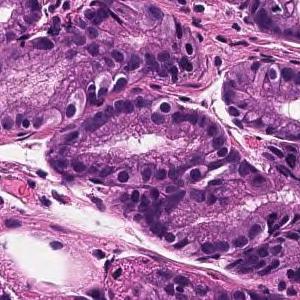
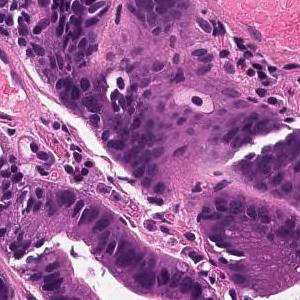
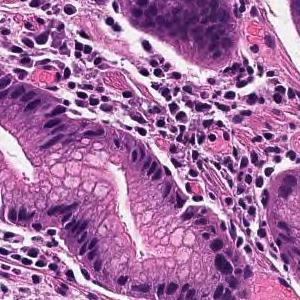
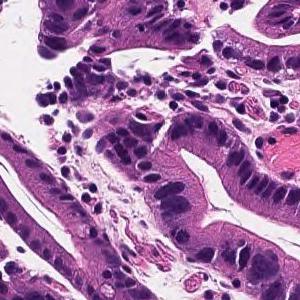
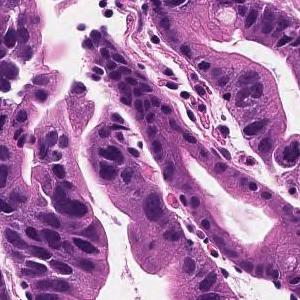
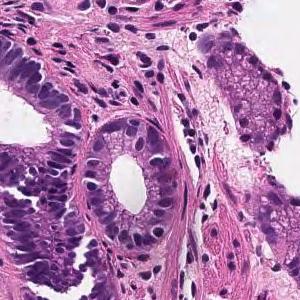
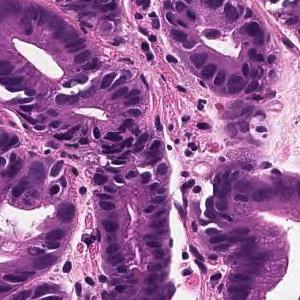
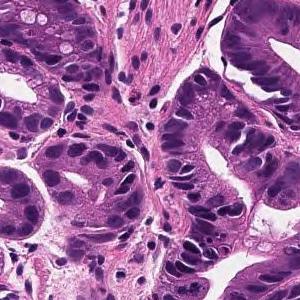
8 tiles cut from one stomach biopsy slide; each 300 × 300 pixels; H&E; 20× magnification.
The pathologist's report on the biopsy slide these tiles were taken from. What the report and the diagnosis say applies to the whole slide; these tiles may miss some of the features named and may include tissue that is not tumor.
Tumor cells are large, highly columnar, large club-shaped nuclei, and are associated with chromatin aggregation. Papillary adenocarcinoma.
